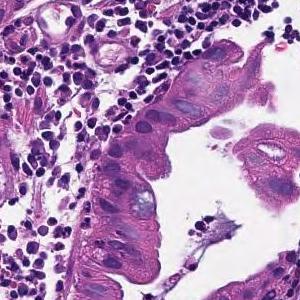
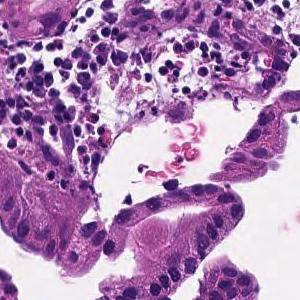
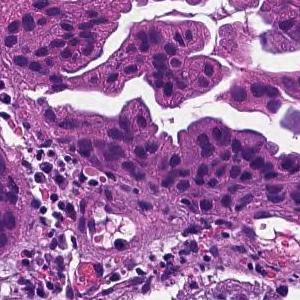
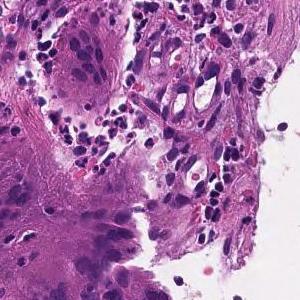
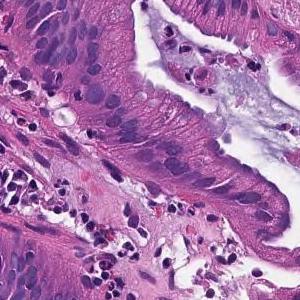
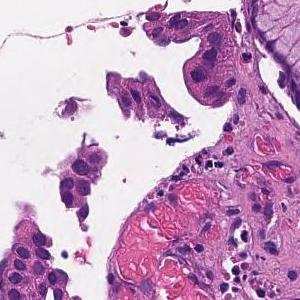
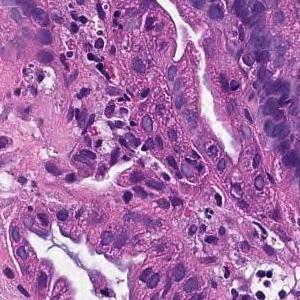
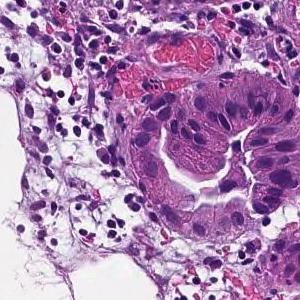
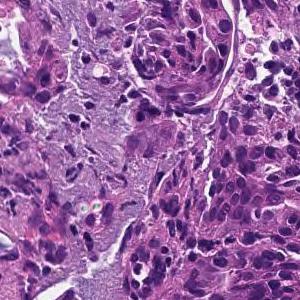
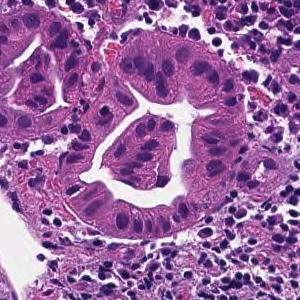
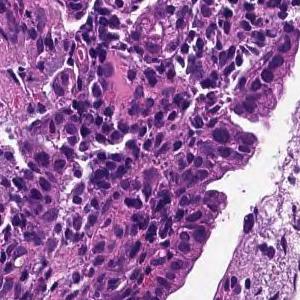
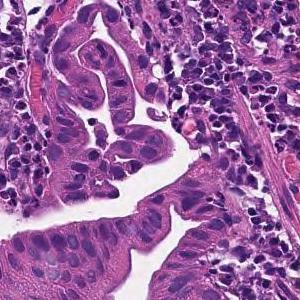
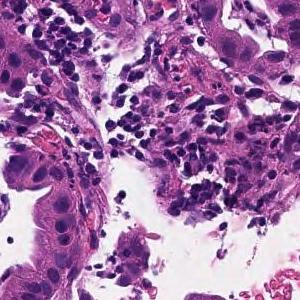
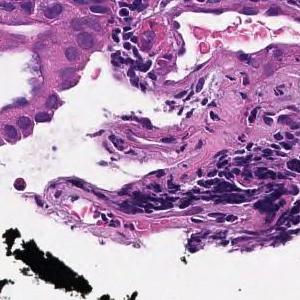
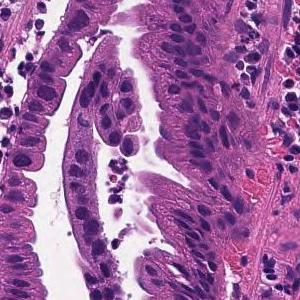
15 image tiles from a single gastric biopsy slide · 300×300 px each · ×20 · hematoxylin and eosin stain.
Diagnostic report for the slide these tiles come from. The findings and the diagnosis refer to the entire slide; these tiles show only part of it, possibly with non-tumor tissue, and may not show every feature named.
On the superficial epithelium, tumor tissue that infiltrates by forming medium-sized papillary or small irregular ducts is observed. Papillary adenocarcinoma
